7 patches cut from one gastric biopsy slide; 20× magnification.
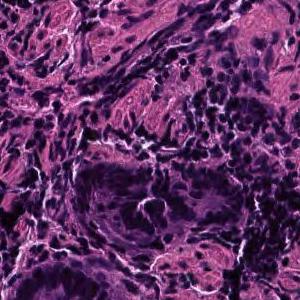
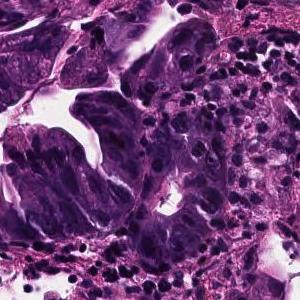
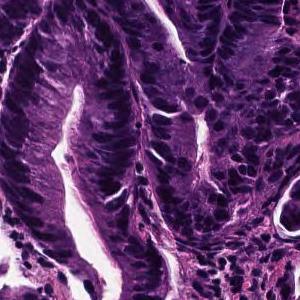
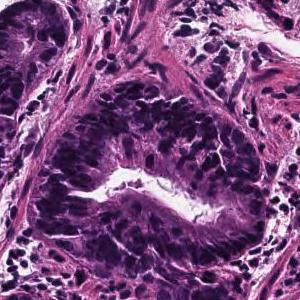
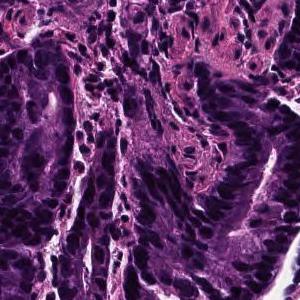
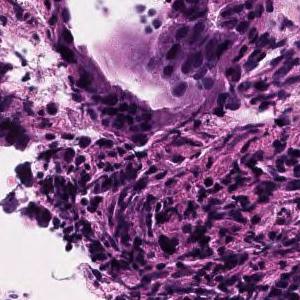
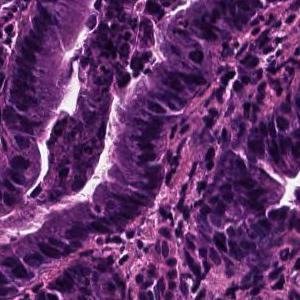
The pathologist's report on the biopsy slide these tiles were taken from. What the report and the diagnosis say applies to the whole slide; these tiles may miss some of the features named and may include tissue that is not tumor.
On the superficial epithelium, tumor tissue consisting of large, irregular glandular ducts partially fused and infiltrated is observed. Well to moderately differentiated tubular adenocarcinoma (well differentiated tubular adenocarcinoma, moderately differentiated tubular adenocarcinoma)
Histologic type: Well to moderately differentiated tubular adenocarcinoma.
